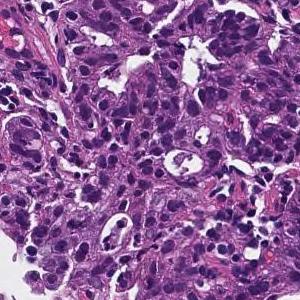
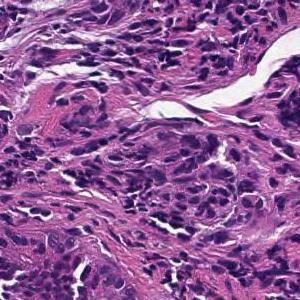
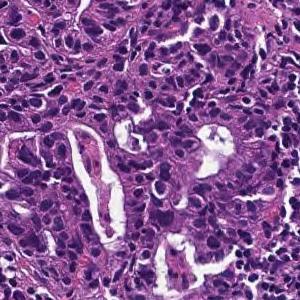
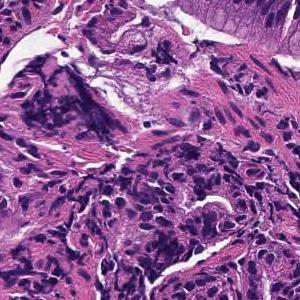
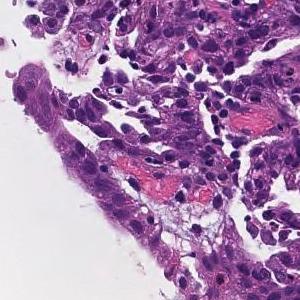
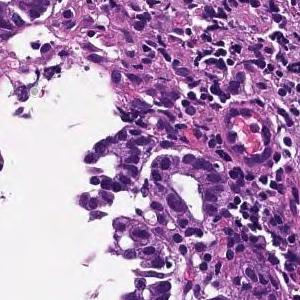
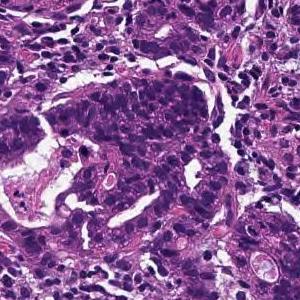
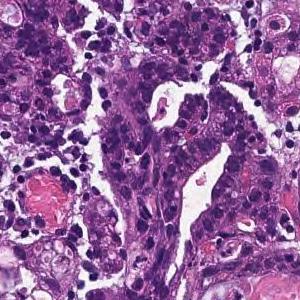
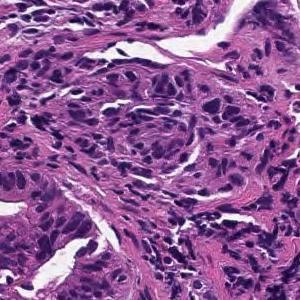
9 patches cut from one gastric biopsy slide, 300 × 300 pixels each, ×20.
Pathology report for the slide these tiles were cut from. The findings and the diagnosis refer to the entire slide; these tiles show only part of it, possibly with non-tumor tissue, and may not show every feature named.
On the superficial epithelium, tumor tissue consisting of large irregular glandular ducts partially fused and infiltrated is observed. Well to moderately differentiated tubular adenocarcinoma (well differentiated tubular adenocarcinoma, moderately differentiated tubular adenocarcinoma)
Histological subtype: Well to moderately differentiated tubular adenocarcinoma.
